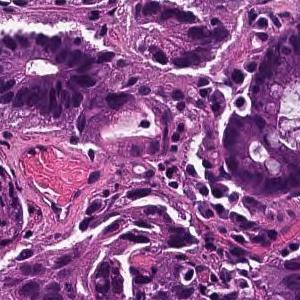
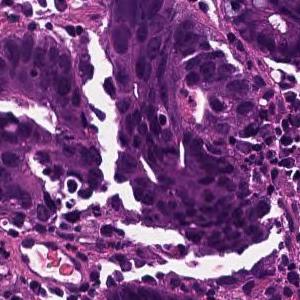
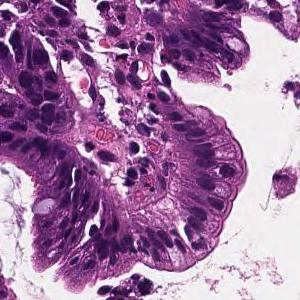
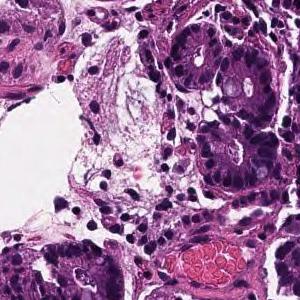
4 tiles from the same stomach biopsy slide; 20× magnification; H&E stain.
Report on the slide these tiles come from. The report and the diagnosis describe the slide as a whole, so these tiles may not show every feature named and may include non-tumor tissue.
In the superficial epithelium, tumor tissue that invades by forming medium-sized to small, irregular ducts is observed. moderately differentiated tubular adenocarcinoma.
